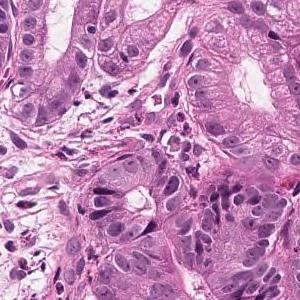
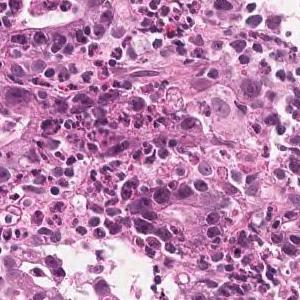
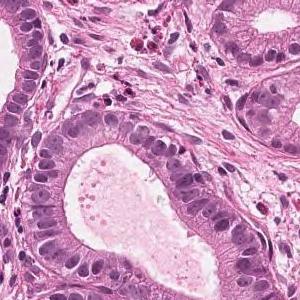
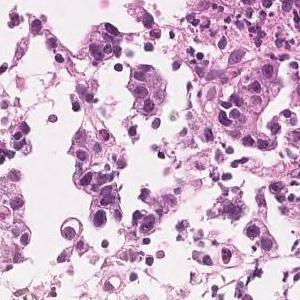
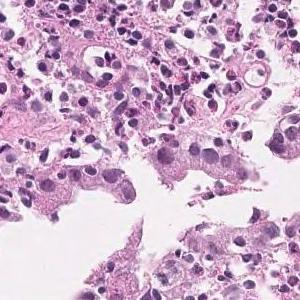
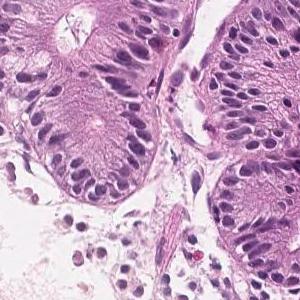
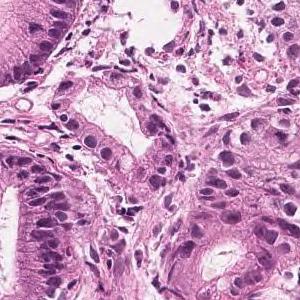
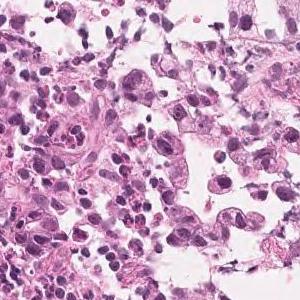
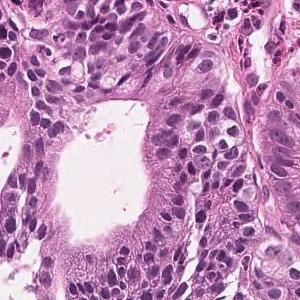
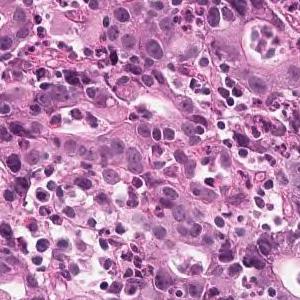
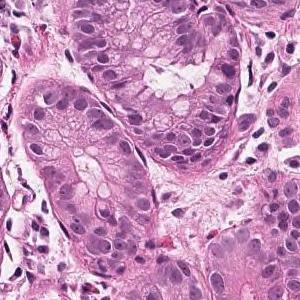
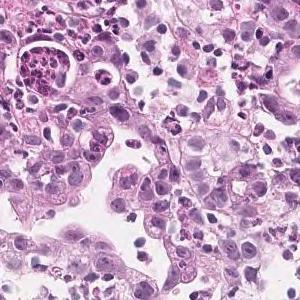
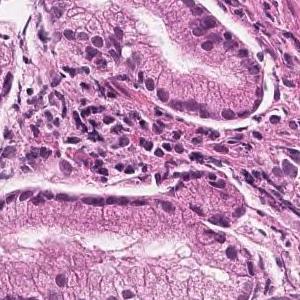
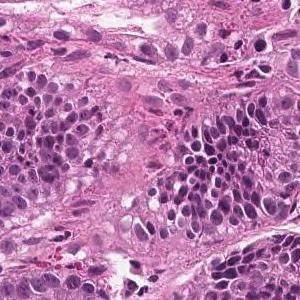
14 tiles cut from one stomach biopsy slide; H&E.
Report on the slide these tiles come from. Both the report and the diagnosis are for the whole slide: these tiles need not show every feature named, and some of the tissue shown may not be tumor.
On the superficial epithelium, tumor tissue consisting of large, irregular glandular ducts partially fused and infiltrated is observed. Well to moderately differentiated tubular adenocarcinoma (well differentiated tubular adenocarcinoma, moderately differentiated tubular adenocarcinoma)
Histological subtype: Well to moderately differentiated tubular adenocarcinoma.
